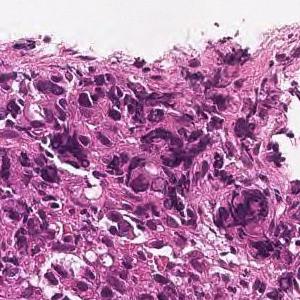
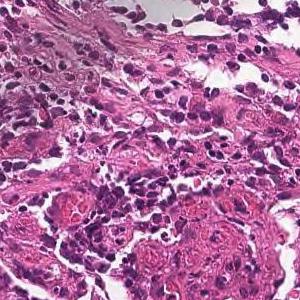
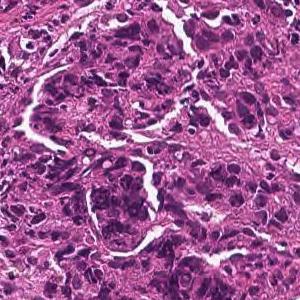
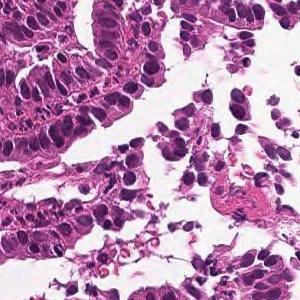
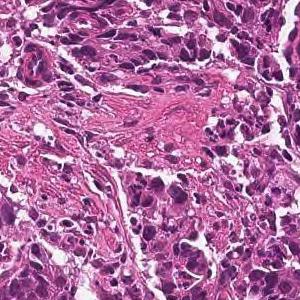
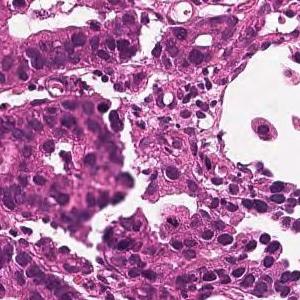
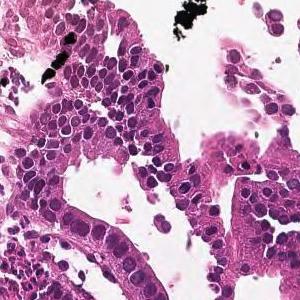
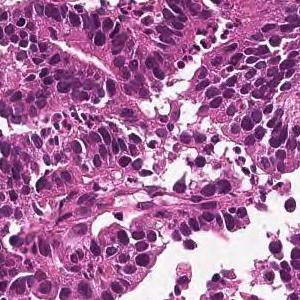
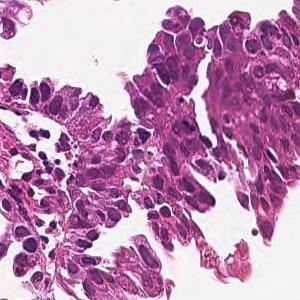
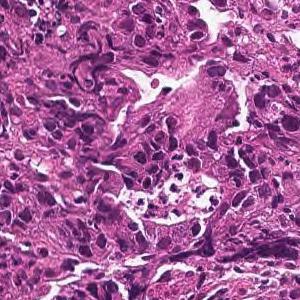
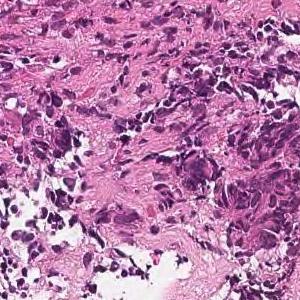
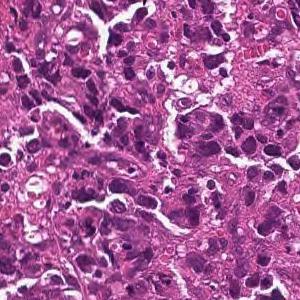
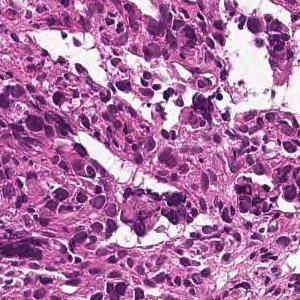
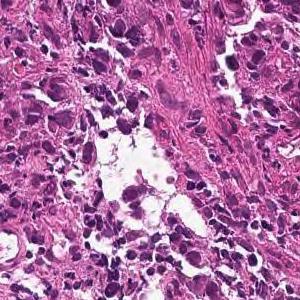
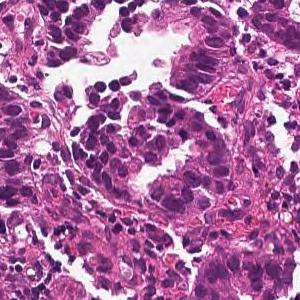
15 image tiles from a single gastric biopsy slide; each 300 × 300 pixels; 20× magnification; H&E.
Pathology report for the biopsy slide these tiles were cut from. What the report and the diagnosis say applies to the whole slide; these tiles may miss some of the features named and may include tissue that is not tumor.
Tumor tissue consisting of medium-sized, cord-like or irregular glandular infiltration is observed in the superficial epithelium. Poorly differentiated adenocarcinoma, non-solid type or moderately differentiated tubular adenocarcinoma
Histologic type: Moderately to poorly differentiated adenocarcinoma.
The non-solid type named here is a Japanese Classification of Gastric Carcinoma category.
